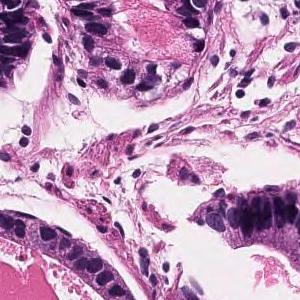
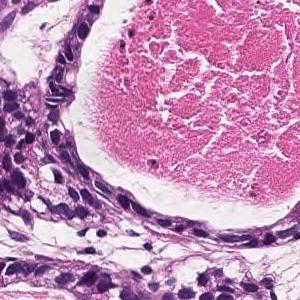
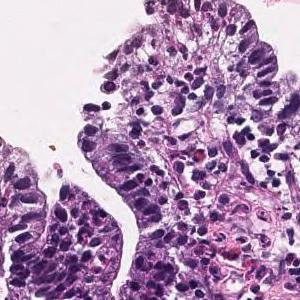
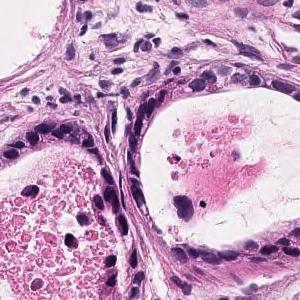
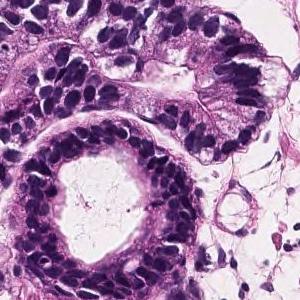
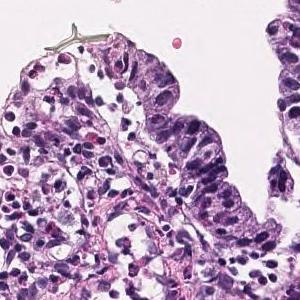
×20, 6 tiles cut from one stomach biopsy slide, 300 × 300 pixels each.
Report on the slide these tiles come from. The findings and the diagnosis refer to the entire slide; these tiles show only part of it, possibly with non-tumor tissue, and may not show every feature named.
Tumor tissue consisting of medium-sized and irregular ducts is observed infiltrating in the superficial epithelium. Tumor cells are highly columnar, with nuclei aligned basolaterally and polarized. Well differentiated tubular adenocarcinoma.
